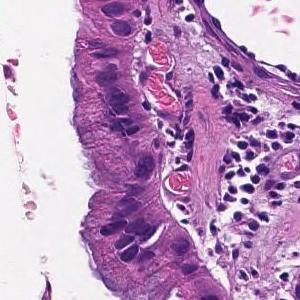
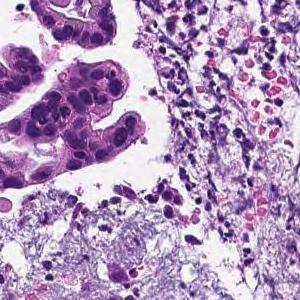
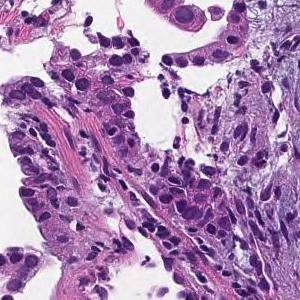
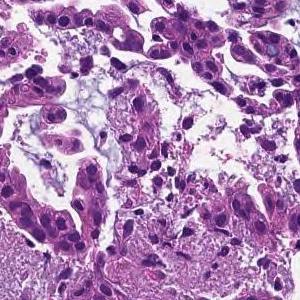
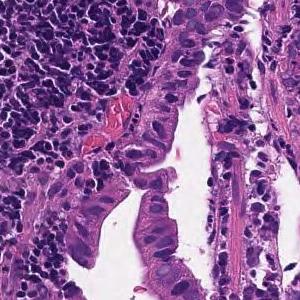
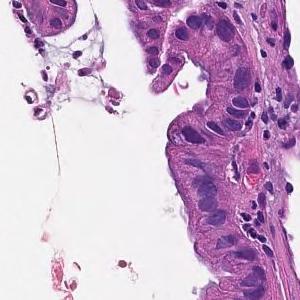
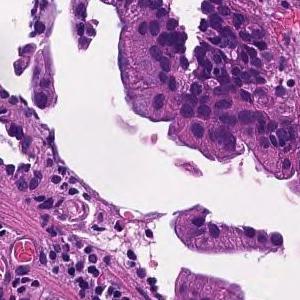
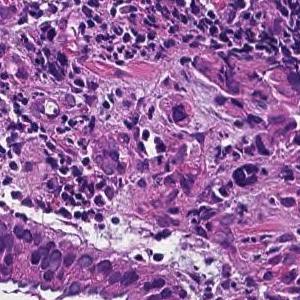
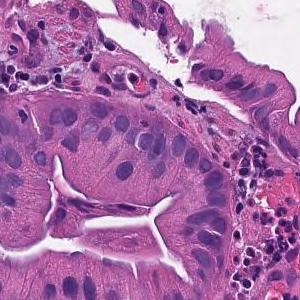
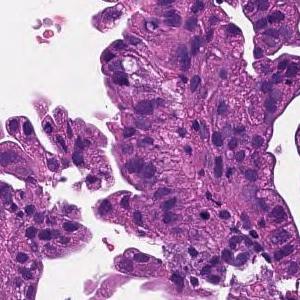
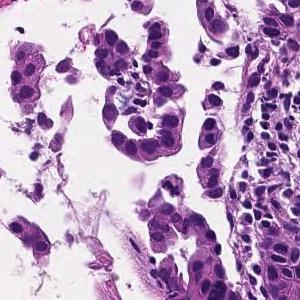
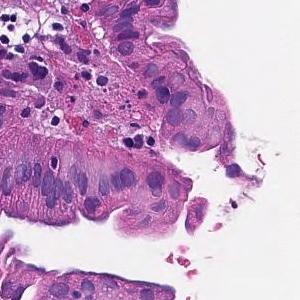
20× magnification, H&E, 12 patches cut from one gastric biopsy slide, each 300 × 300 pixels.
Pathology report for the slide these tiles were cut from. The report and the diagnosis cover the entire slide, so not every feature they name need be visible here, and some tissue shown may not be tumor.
On the superficial epithelium, tumor tissue that infiltrates by forming medium-sized papillary or small irregular ducts is observed. Papillary adenocarcinoma
